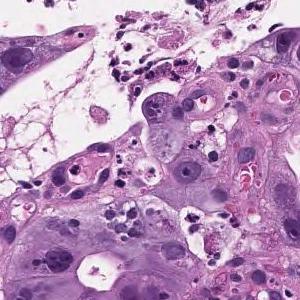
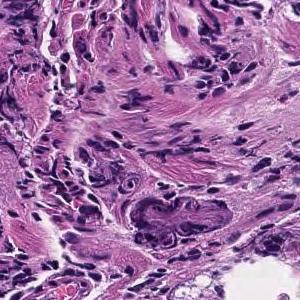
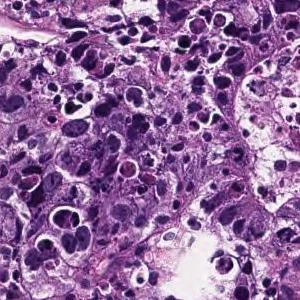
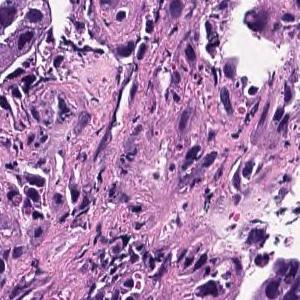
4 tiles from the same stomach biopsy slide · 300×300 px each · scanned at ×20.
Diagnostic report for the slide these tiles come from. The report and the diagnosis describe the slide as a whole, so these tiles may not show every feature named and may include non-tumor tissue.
In the superficial epithelium, medium to small irregular gland ducts are formed, and in some cases, the ducts are fused to show solid alveolar lesions and infiltrating tumor tissue is observed. Moderately to poorly differentiated adenocarcinoma
